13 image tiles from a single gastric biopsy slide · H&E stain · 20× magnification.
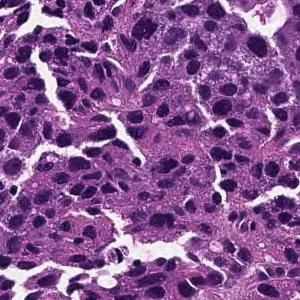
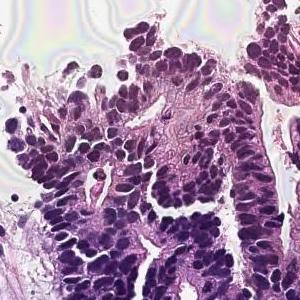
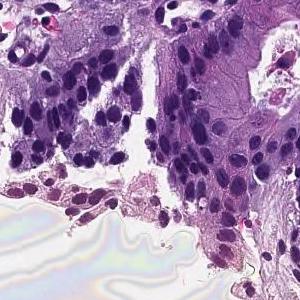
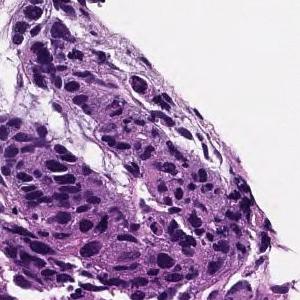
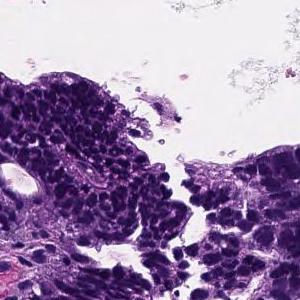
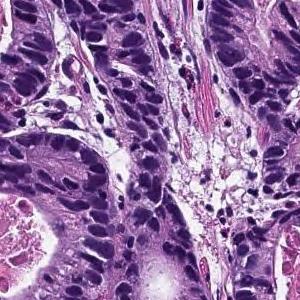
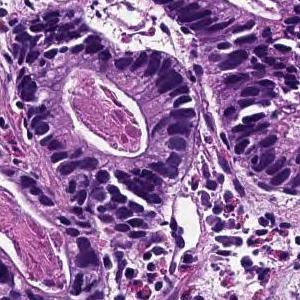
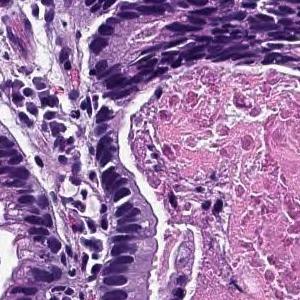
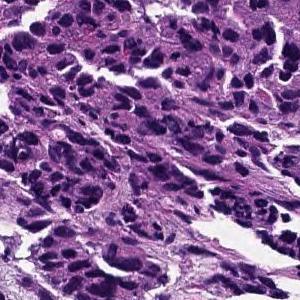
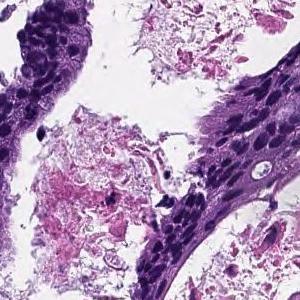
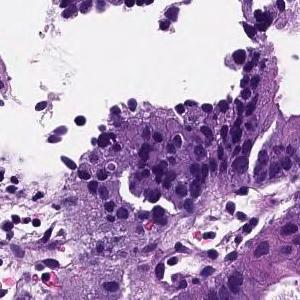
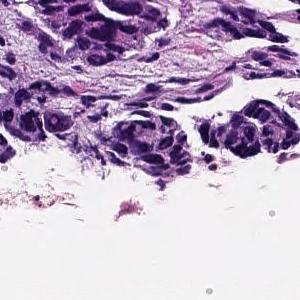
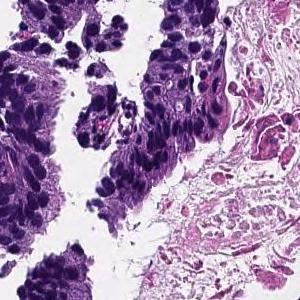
Diagnostic report for the slide these tiles come from. The report and the diagnosis describe the slide as a whole, so these tiles may not show every feature named and may include non-tumor tissue.
From the superficial epithelium to the muscularis mucosae, tumor tissue consisting of medium-sized and irregular glandular ducts infiltrating is observed. Well differentiated tubular adenocarcinoma
